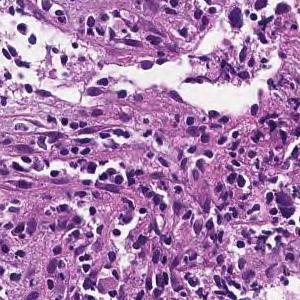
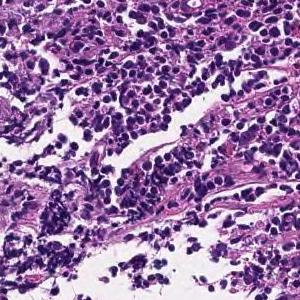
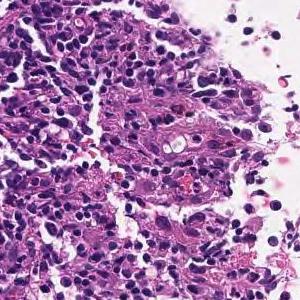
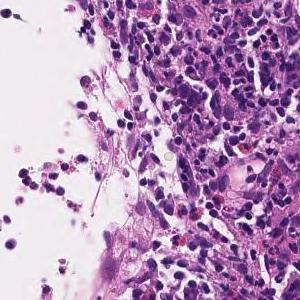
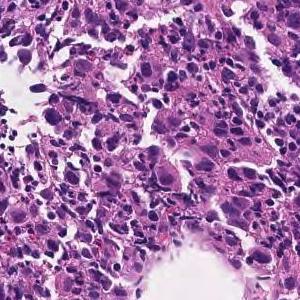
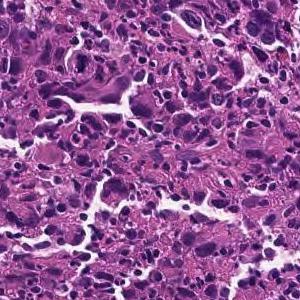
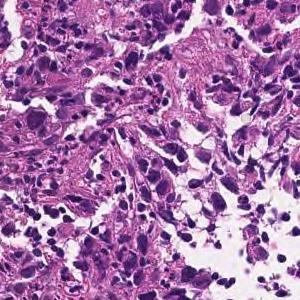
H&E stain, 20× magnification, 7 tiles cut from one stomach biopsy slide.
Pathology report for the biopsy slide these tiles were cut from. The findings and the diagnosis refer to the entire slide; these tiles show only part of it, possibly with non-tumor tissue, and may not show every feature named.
The superficial epithelium shows a large sheet-like shape, and some tumor tissue infiltrates with small irregular ducts. Poorly differentiated adenocarcinoma, solid-type (poorly differentiated adenocarcinoma, solid type)
Histologic type: Poorly differentiated adenocarcinoma, solid type, a category of the Japanese Classification of Gastric Carcinoma; in the WHO 2019 classification it is tubular adenocarcinoma, poorly differentiated.
